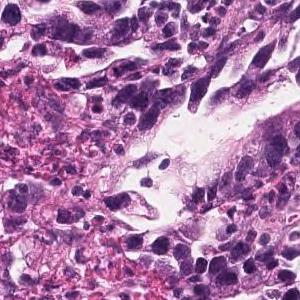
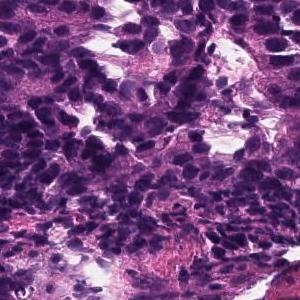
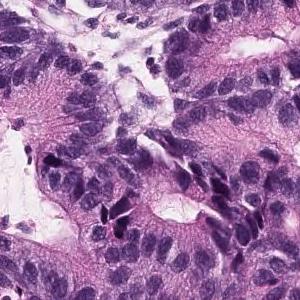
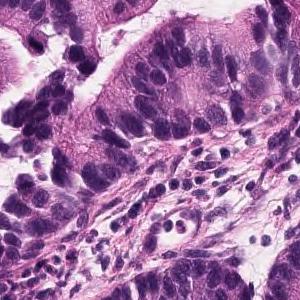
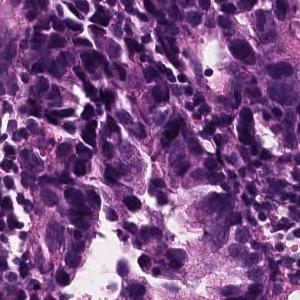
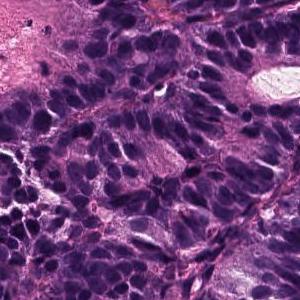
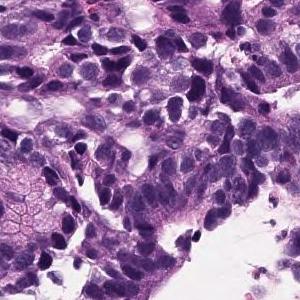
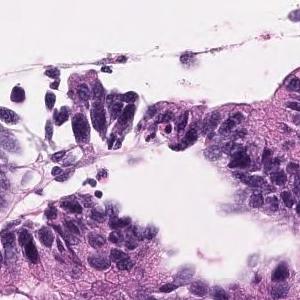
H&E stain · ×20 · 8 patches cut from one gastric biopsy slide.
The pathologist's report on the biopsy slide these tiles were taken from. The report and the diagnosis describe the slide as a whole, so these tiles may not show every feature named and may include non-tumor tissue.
In the superficial epithelium, tumor tissue that invades by forming medium-sized to small, irregular ducts is observed. moderately differentiated tubular adenocarcinoma.
